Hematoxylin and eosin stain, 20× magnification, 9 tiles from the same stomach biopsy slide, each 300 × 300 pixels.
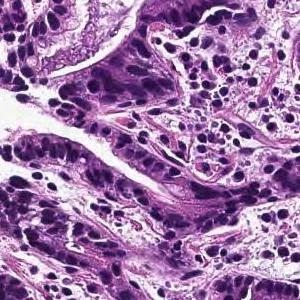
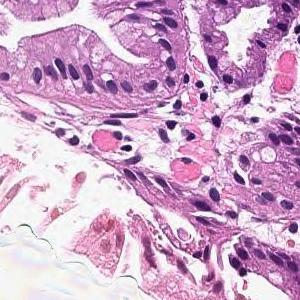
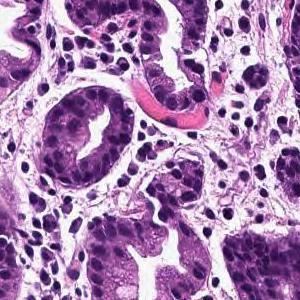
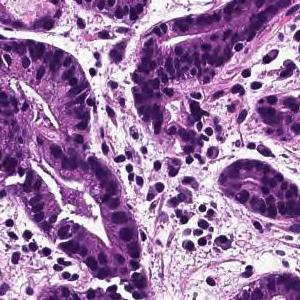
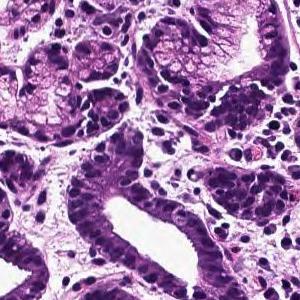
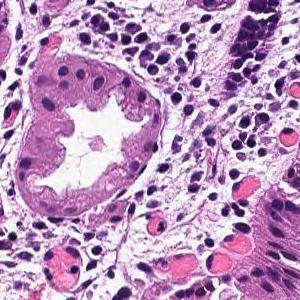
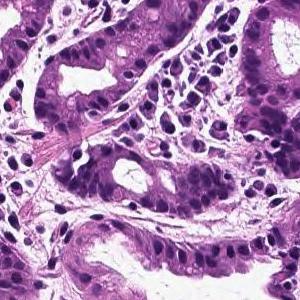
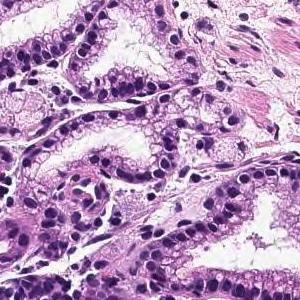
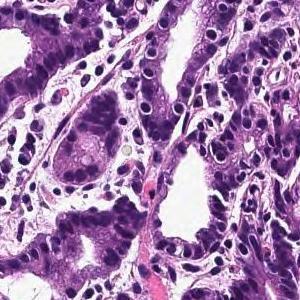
Pathology report for the biopsy slide these tiles were cut from. The report and the diagnosis describe the slide as a whole, so these tiles may not show every feature named and may include non-tumor tissue.
In the superficial epithelium, tumor tissue that invades by forming medium-sized to small, irregular ducts is observed. moderately differentiated tubular adenocarcinoma.
